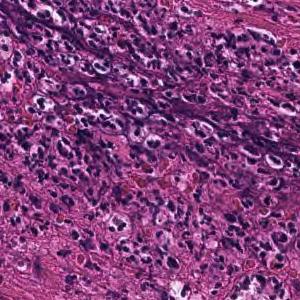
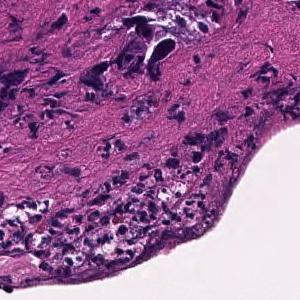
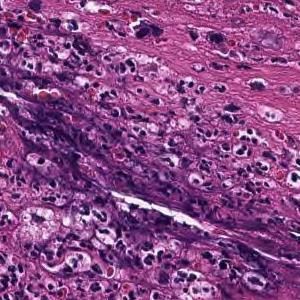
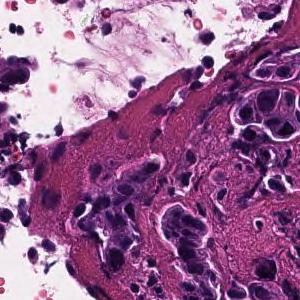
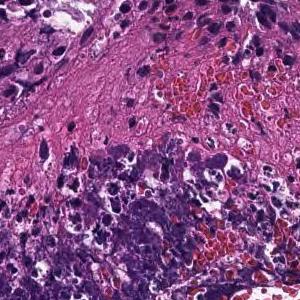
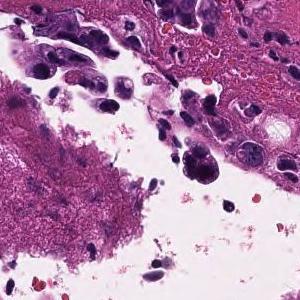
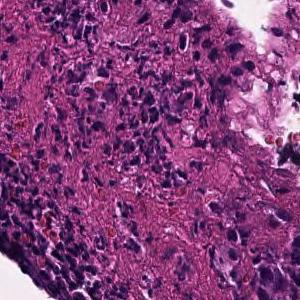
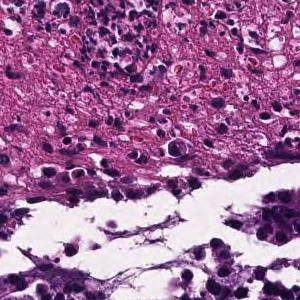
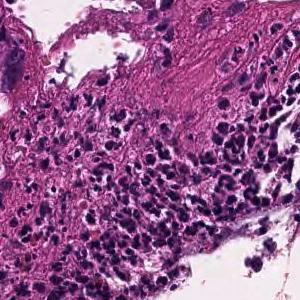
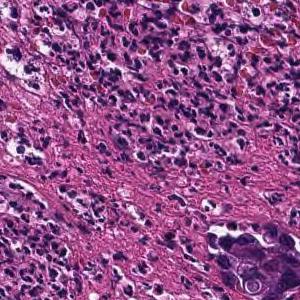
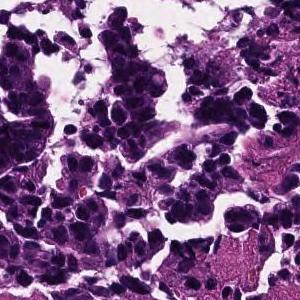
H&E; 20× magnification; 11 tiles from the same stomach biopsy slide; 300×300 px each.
Diagnostic report for the slide these tiles come from. The report and the diagnosis cover the entire slide, so not every feature they name need be visible here, and some tissue shown may not be tumor.
Tumor tissue consisting of cord-like or small, irregular glandular ducts fused and infiltrated is observed in the superficial epithelium. Poorly differentiated adenocarcinoma, non-solid type
"Non-solid type" is a category of the Japanese Classification of Gastric Carcinoma.
